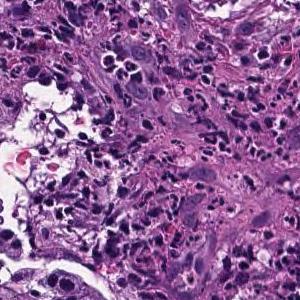
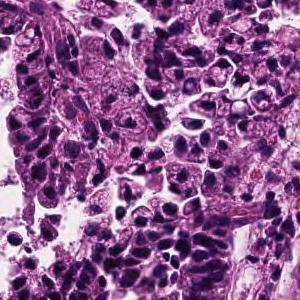
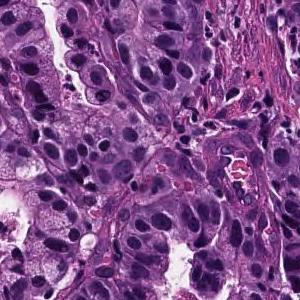
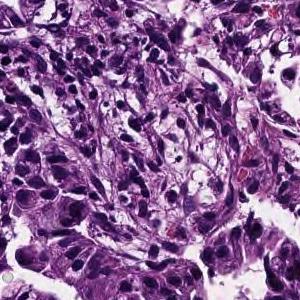
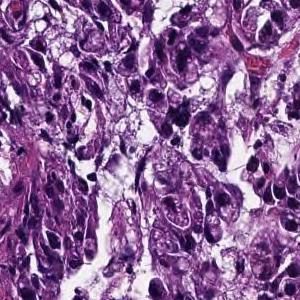
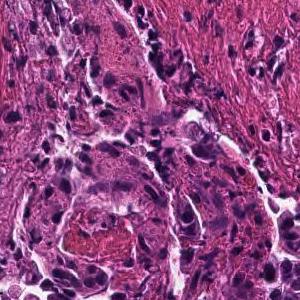
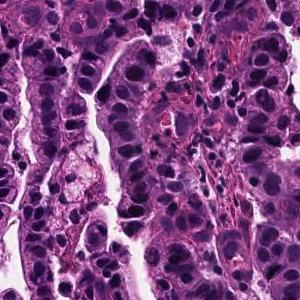
7 patches cut from one gastric biopsy slide; scanned at ×20.
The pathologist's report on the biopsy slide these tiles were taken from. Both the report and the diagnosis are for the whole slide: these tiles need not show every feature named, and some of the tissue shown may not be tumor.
Tumor cells are large, highly columnar, large club-shaped nuclei, and are associated with chromatin aggregation. Papillary adenocarcinoma.
